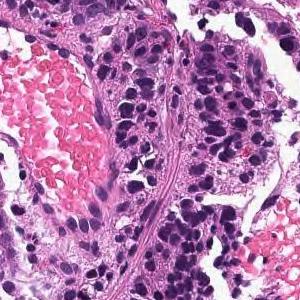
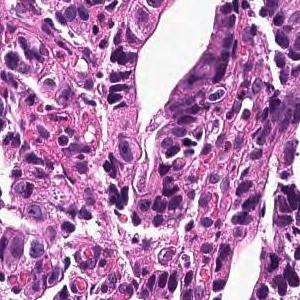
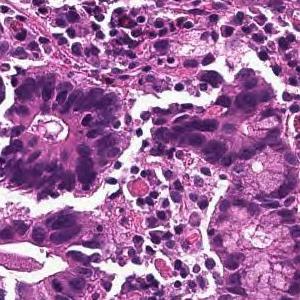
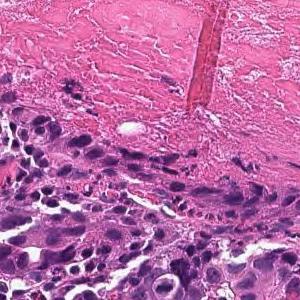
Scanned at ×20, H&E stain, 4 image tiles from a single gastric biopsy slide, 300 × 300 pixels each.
Pathology report for the biopsy slide these tiles were cut from. Both the report and the diagnosis are for the whole slide: these tiles need not show every feature named, and some of the tissue shown may not be tumor.
On the superficial epithelium, tumor tissue consisting of large, irregular glandular ducts partially fused and infiltrated is observed. Well to moderately differentiated tubular adenocarcinoma (well differentiated tubular adenocarcinoma, moderately differentiated tubular adenocarcinoma)
Subtype: Well to moderately differentiated tubular adenocarcinoma.
